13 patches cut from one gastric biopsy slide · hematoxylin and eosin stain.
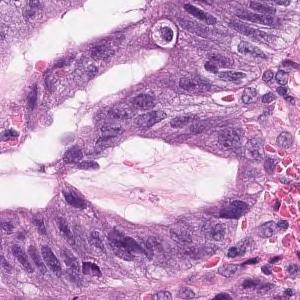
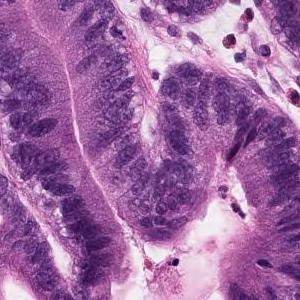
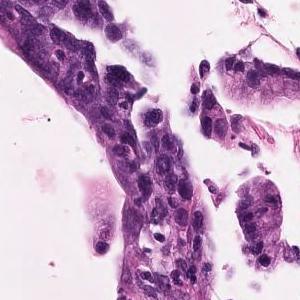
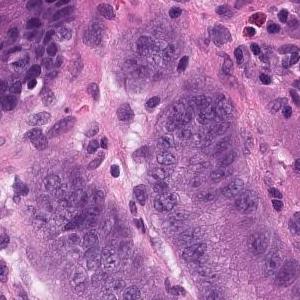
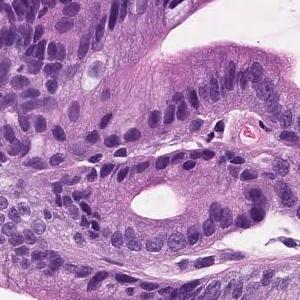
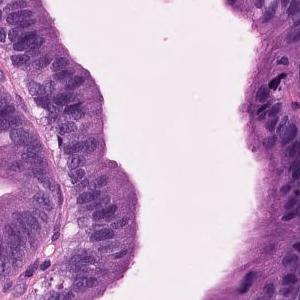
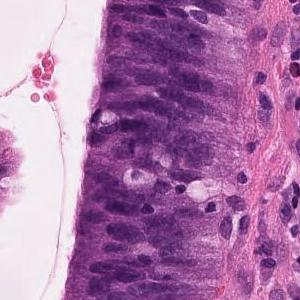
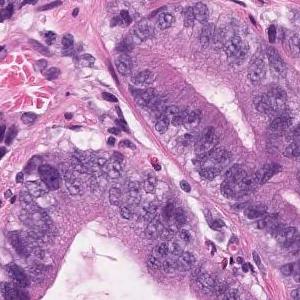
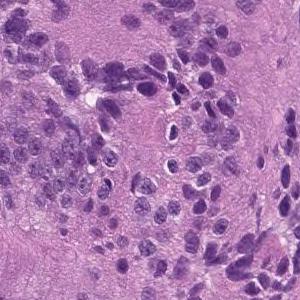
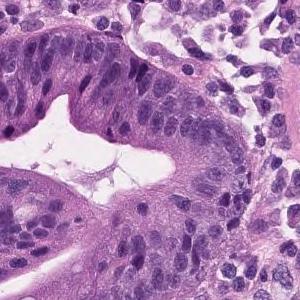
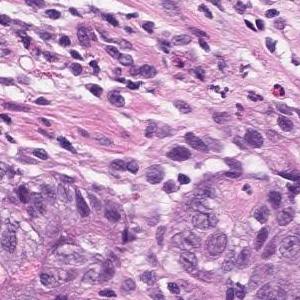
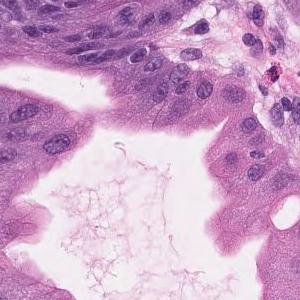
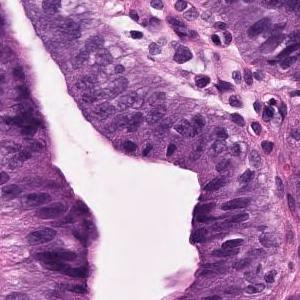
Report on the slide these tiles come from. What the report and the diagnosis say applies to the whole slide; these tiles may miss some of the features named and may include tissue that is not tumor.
On the superficial epithelium, tumor tissue consisting of large, irregular glandular ducts partially fused and infiltrated is observed. Well to moderately differentiated tubular adenocarcinoma (well differentiated tubular adenocarcinoma, moderately differentiated tubular adenocarcinoma)
Tumor subtype: well to moderately differentiated tubular adenocarcinoma.
